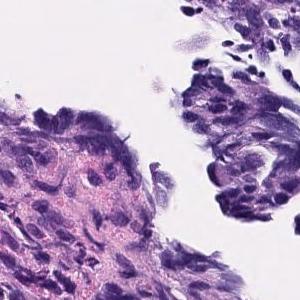
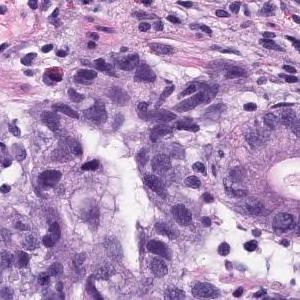
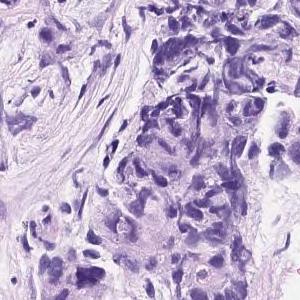
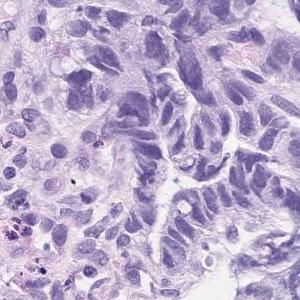
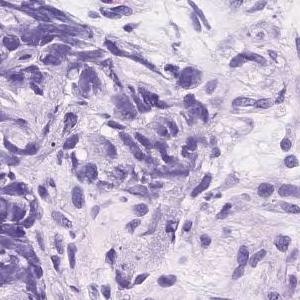
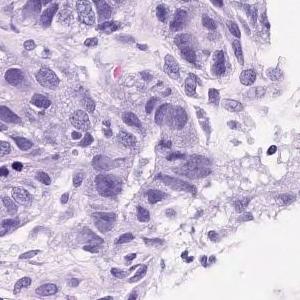
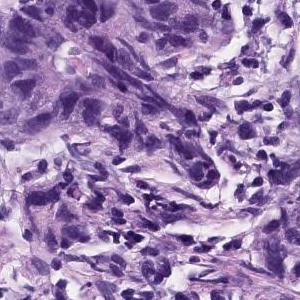
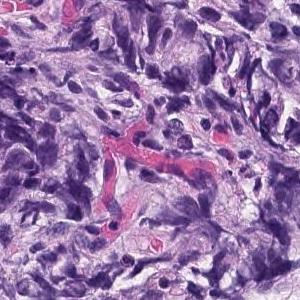
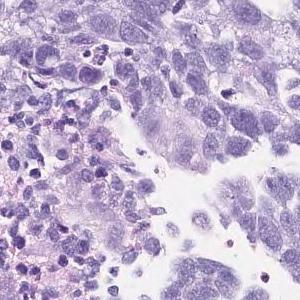
20× magnification; hematoxylin and eosin stain; 9 image tiles from a single gastric biopsy slide.
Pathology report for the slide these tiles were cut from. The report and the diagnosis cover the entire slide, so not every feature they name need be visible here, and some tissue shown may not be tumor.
Atypical epithelial cells with an increased N/C ratio proliferate and consist of a part that shows the formation of gland ducts and a part that shows solid growth. Poorly differentiated adenocarcinoma, solid-type
Histologic type: Poorly differentiated adenocarcinoma, solid type, a category of the Japanese Classification of Gastric Carcinoma; in the WHO 2019 classification it is tubular adenocarcinoma, poorly differentiated.
